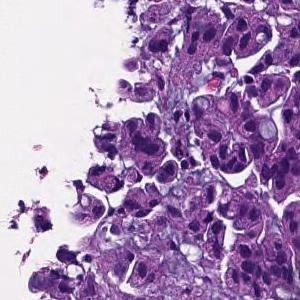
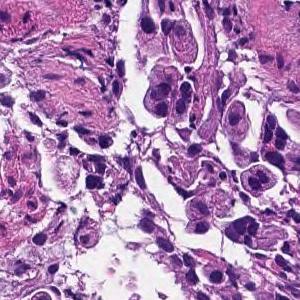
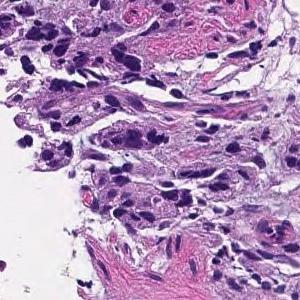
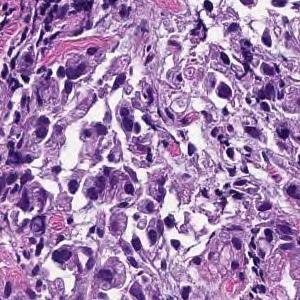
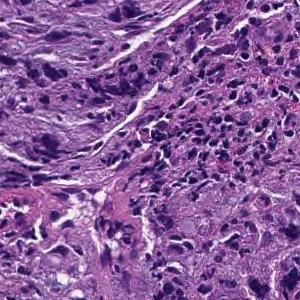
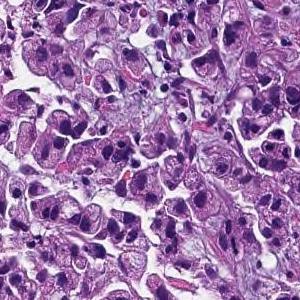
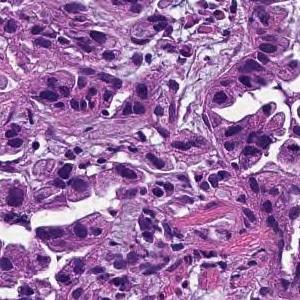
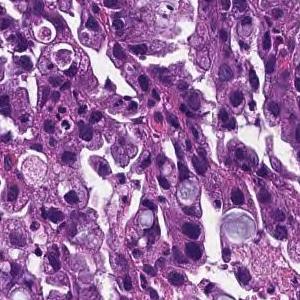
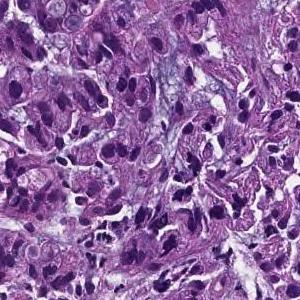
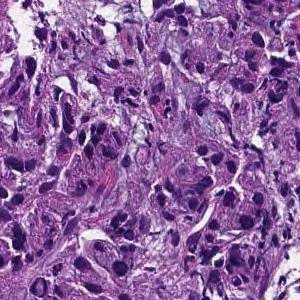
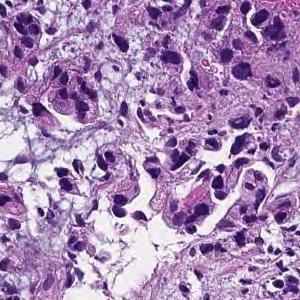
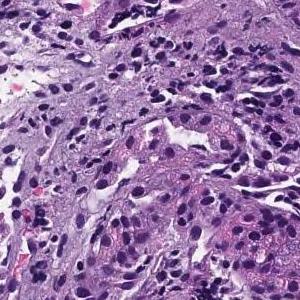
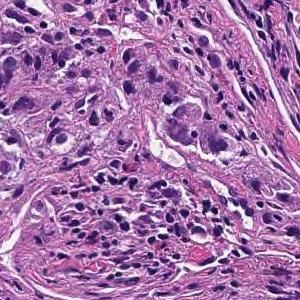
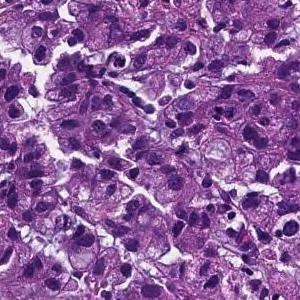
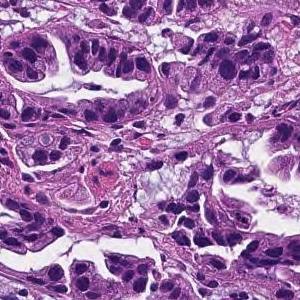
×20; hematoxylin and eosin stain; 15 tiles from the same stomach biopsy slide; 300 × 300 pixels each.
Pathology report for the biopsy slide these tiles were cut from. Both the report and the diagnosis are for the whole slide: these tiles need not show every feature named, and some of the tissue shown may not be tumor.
Tumor tissue consisting of medium-sized, cord-like or irregular glandular infiltration is observed in the superficial epithelium. Poorly differentiated adenocarcinoma, non-solid type or moderately differentiated tubular adenocarcinoma
Histologic type: Moderately to poorly differentiated adenocarcinoma.
The term "non-solid type" comes from the Japanese Classification of Gastric Carcinoma.
